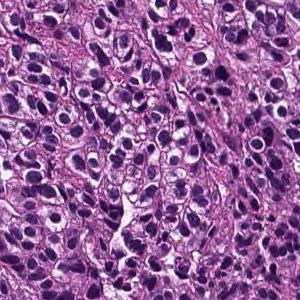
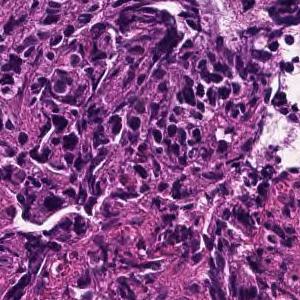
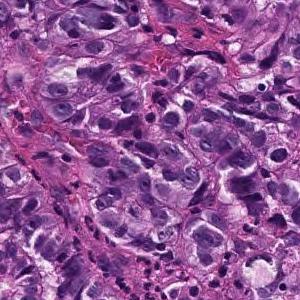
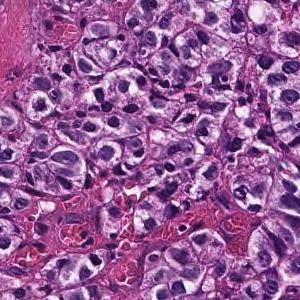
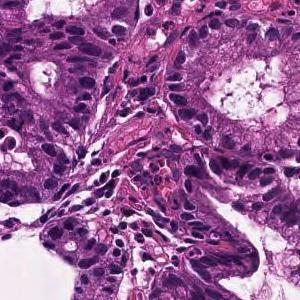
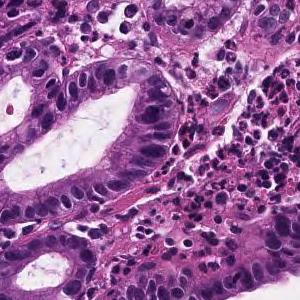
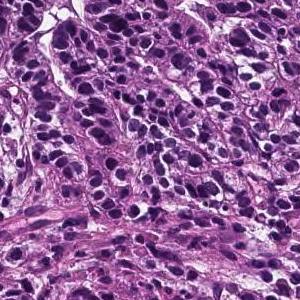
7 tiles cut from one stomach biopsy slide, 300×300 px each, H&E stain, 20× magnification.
Pathology report for the biopsy slide these tiles were cut from. The report and the diagnosis cover the entire slide, so not every feature they name need be visible here, and some tissue shown may not be tumor.
In the superficial epithelium, tumor tissue that invades by forming medium-sized to small, irregular ducts is observed. moderately differentiated tubular adenocarcinoma.
